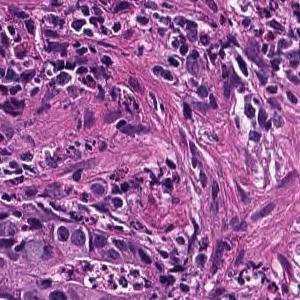
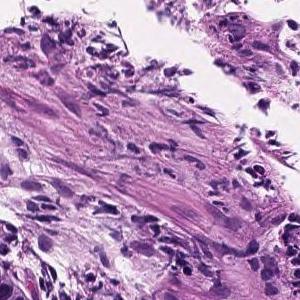
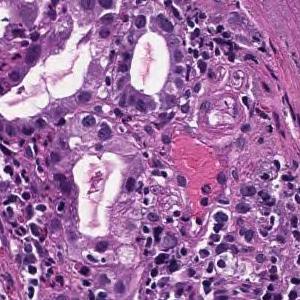
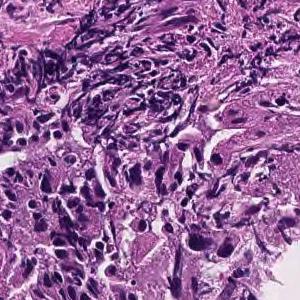
Hematoxylin and eosin stain; 4 tiles cut from one stomach biopsy slide; each 300 × 300 pixels.
Report on the slide these tiles come from. The findings and the diagnosis refer to the entire slide; these tiles show only part of it, possibly with non-tumor tissue, and may not show every feature named.
On the superficial epithelium, tumor tissue consisting of large, irregular glandular ducts partially fused and infiltrated is observed. Well to moderately differentiated tubular adenocarcinoma (well differentiated tubular adenocarcinoma, moderately differentiated tubular adenocarcinoma)
Histologic type: Well to moderately differentiated tubular adenocarcinoma.
